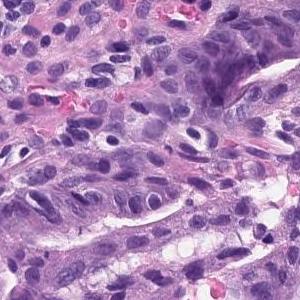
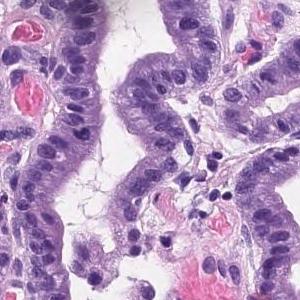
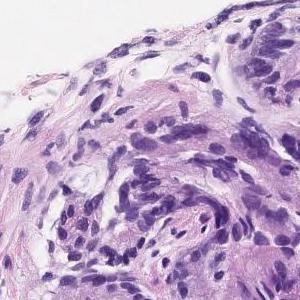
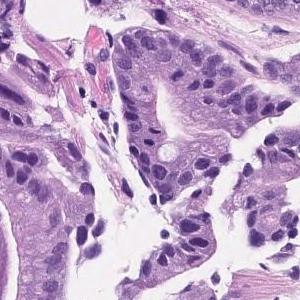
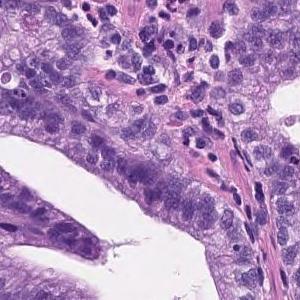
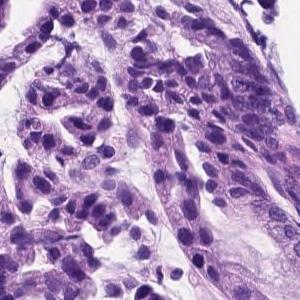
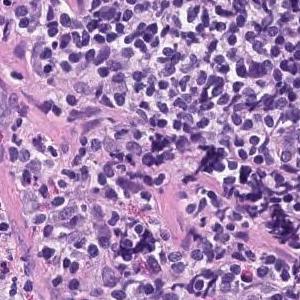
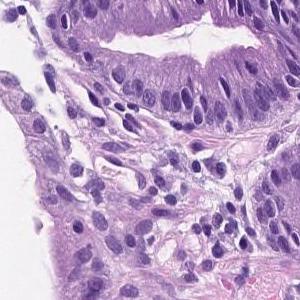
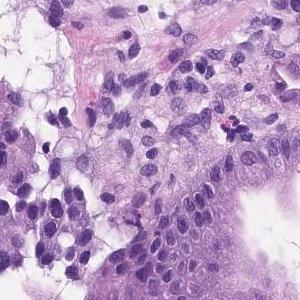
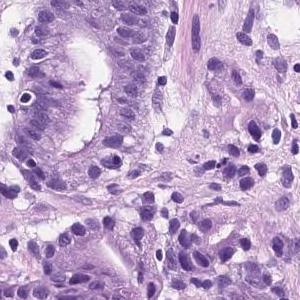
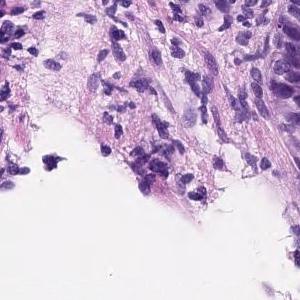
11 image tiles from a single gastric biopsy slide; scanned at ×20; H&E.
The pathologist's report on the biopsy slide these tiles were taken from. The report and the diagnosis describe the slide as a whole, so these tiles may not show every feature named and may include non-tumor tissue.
Tumor tissue consisting of medium-sized and irregular ducts is observed infiltrating in the superficial epithelium. Tumor cells are highly columnar, with nuclei aligned basolaterally and polarized. Well differentiated tubular adenocarcinoma.
